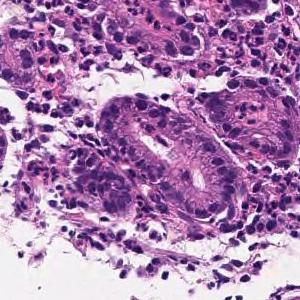
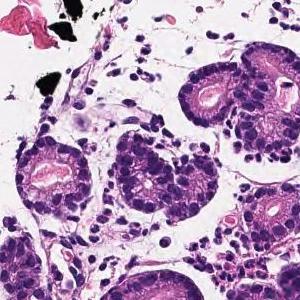
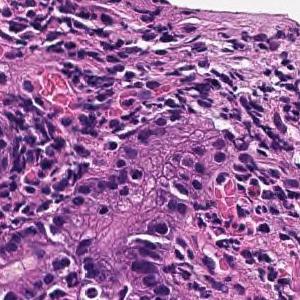
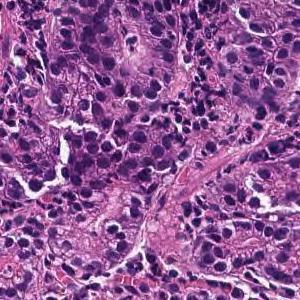
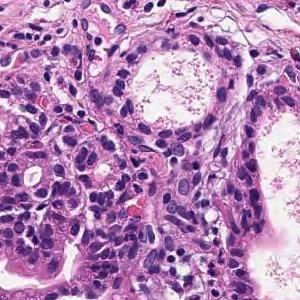
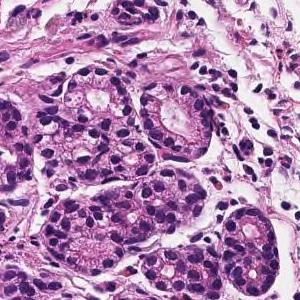
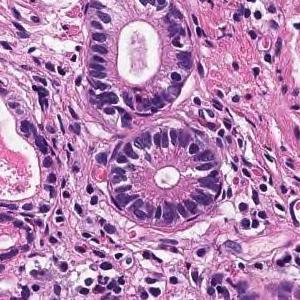
7 image tiles from a single gastric biopsy slide, 300×300 px each, 20× magnification.
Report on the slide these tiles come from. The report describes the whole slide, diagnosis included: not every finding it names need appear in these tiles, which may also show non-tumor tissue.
Tumor tissue infiltrated and proliferated with small to medium-sized irregular tubules is observed in the superficial epithelium. Well differentiated tubular adenocarcinoma
